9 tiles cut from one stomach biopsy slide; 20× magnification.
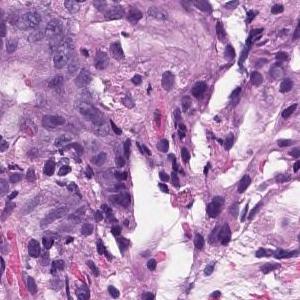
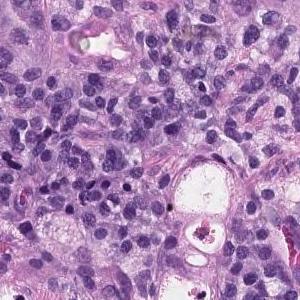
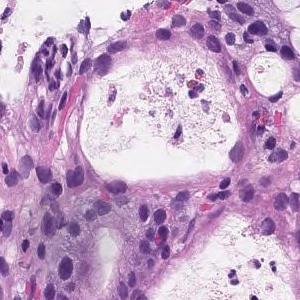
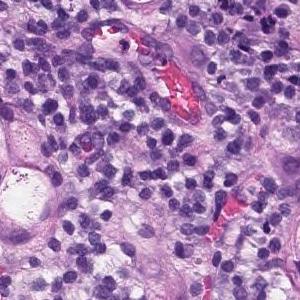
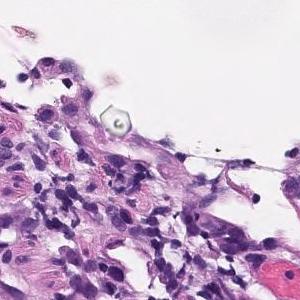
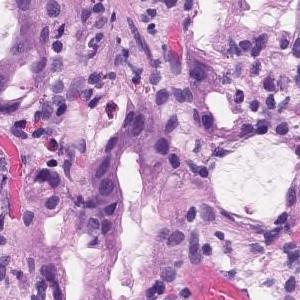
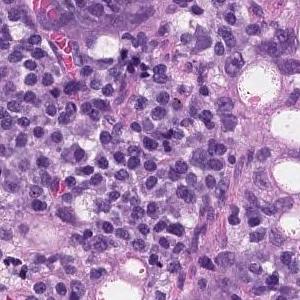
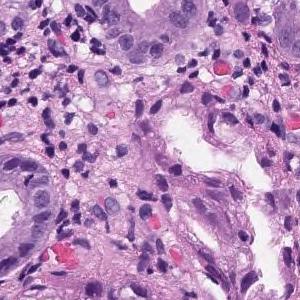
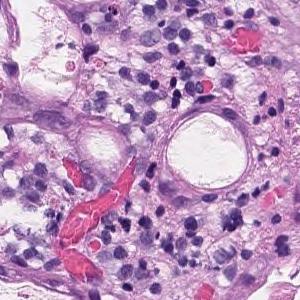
Pathology report for the slide these tiles were cut from. Both the report and the diagnosis are for the whole slide: these tiles need not show every feature named, and some of the tissue shown may not be tumor.
In the superficial epithelium, tumor tissue that invades by forming medium-sized to small, irregular ducts is observed. Moderately differentiated adenocarcinoma.
Tumor subtype: moderately differentiated tubular adenocarcinoma.
